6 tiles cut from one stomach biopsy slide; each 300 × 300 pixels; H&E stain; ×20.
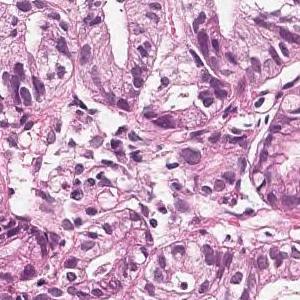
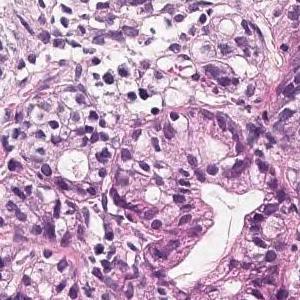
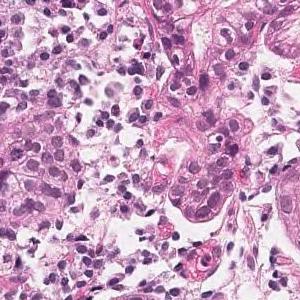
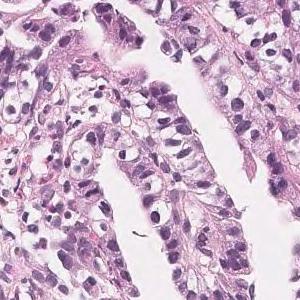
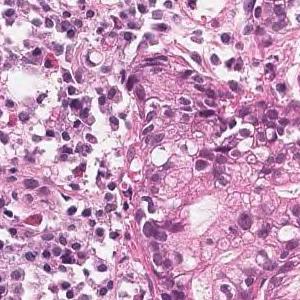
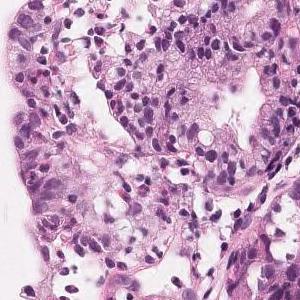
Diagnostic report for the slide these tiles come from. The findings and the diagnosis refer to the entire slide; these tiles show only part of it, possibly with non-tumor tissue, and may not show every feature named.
Proliferation of atypical glandular ducts that fuse and show a sieving structure is observed. moderately differentiated tubular adenocarcinoma
